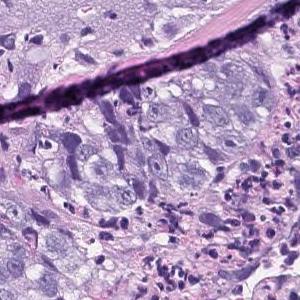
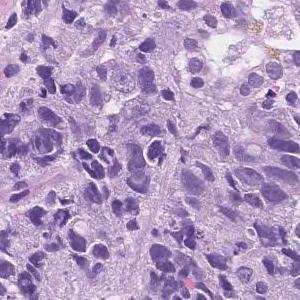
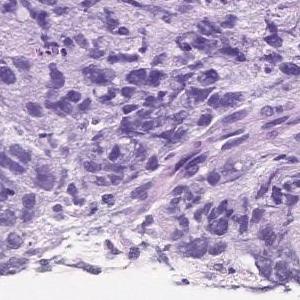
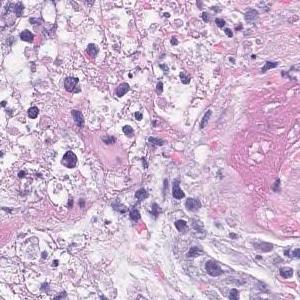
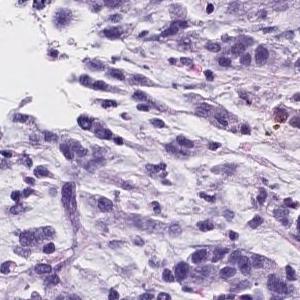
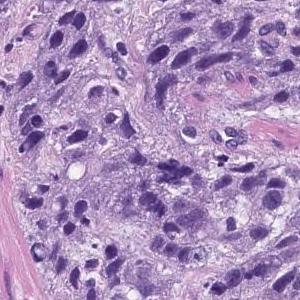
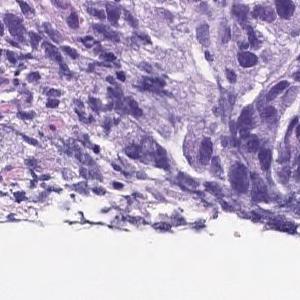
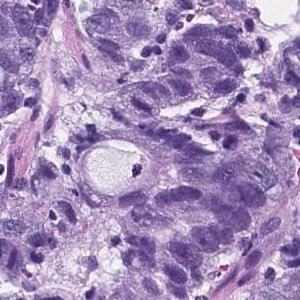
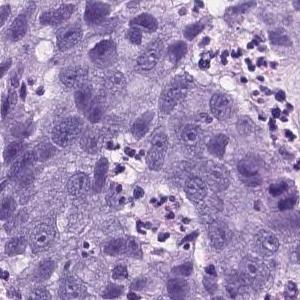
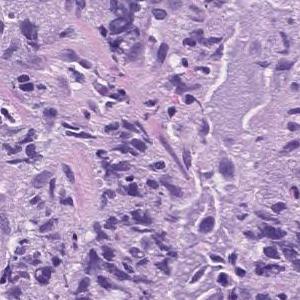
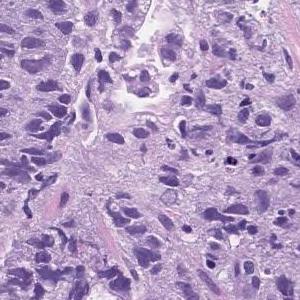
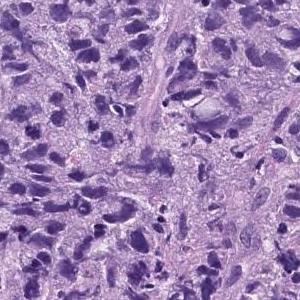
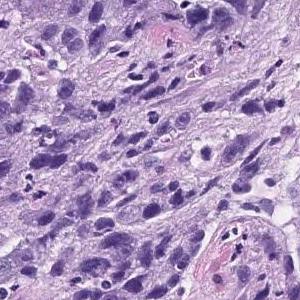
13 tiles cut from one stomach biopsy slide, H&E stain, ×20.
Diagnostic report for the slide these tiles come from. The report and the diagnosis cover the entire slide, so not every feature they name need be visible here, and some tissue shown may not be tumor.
Atypical l cells with atypical nuclei forming solid vesicles or small irregular atypical ducts that proliferate in a complex manner. poorly differentiated adenocarcinoma, solid type, moderately differentiated tubular adenocarcinoma
"Solid type" is a category of the Japanese Classification of Gastric Carcinoma; in the WHO 2019 classification it is tubular adenocarcinoma, poorly differentiated.
